6 tiles cut from one stomach biopsy slide; H&E.
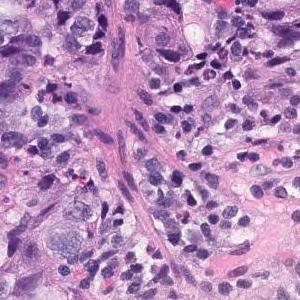
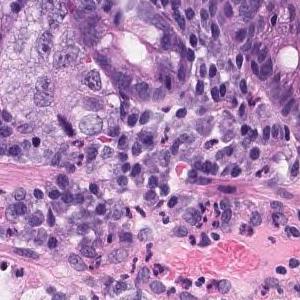
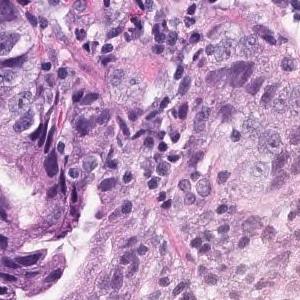
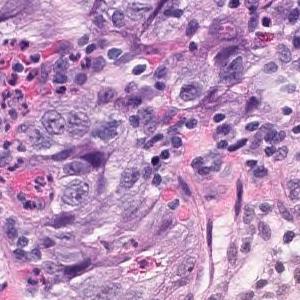
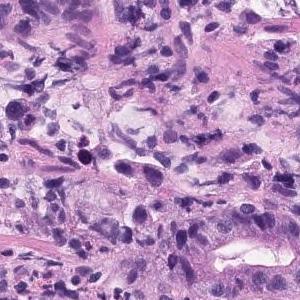
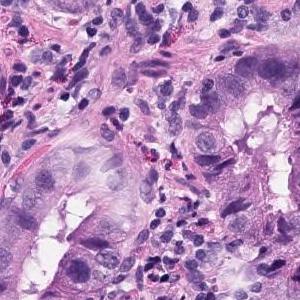
Diagnostic report for the slide these tiles come from. The findings and the diagnosis refer to the entire slide; these tiles show only part of it, possibly with non-tumor tissue, and may not show every feature named.
In the superficial epithelium, tumor tissue that invades by forming medium-sized to small irregular glandular ducts is observed. Moderately differentiated adenocarcinoma.
Classified as moderately differentiated tubular adenocarcinoma.
